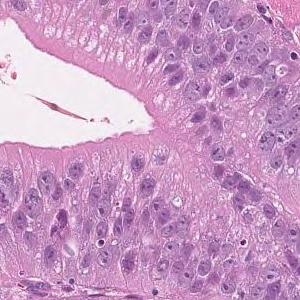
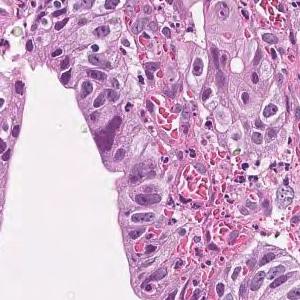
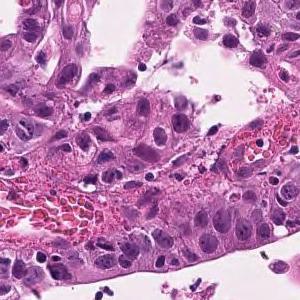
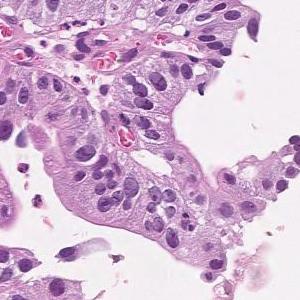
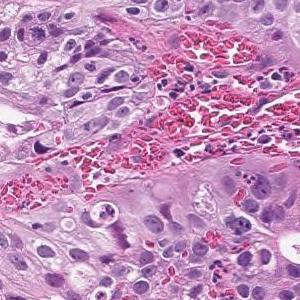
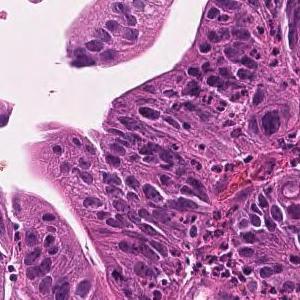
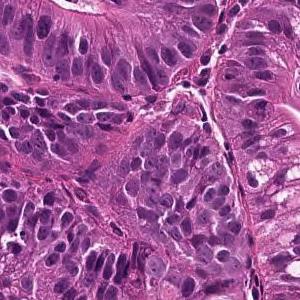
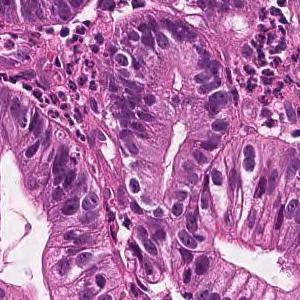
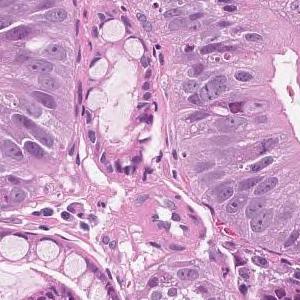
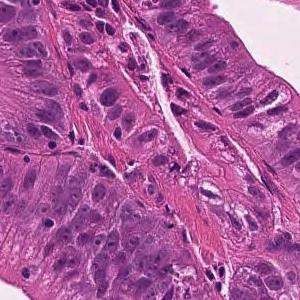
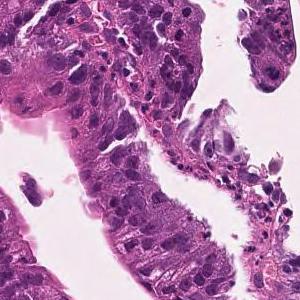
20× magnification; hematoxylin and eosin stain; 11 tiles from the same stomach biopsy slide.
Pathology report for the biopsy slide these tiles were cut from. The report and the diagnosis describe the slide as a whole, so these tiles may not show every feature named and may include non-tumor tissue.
Tumor cells are large, highly columnar, large club-shaped nuclei, and are associated with chromatin aggregation. Papillary adenocarcinoma.
